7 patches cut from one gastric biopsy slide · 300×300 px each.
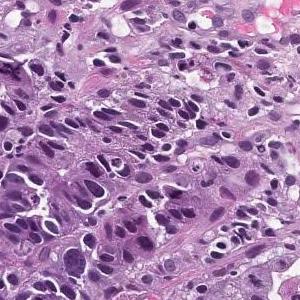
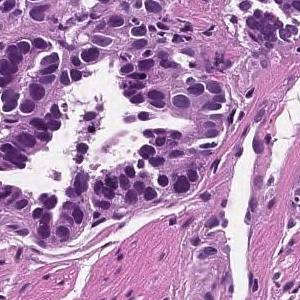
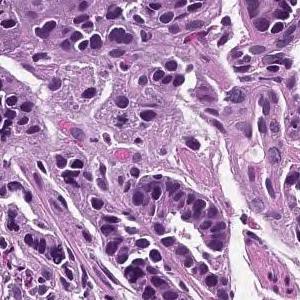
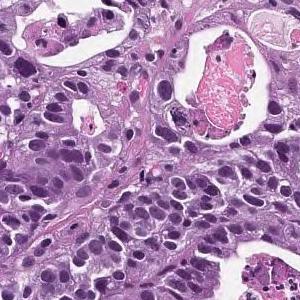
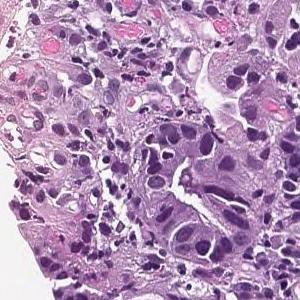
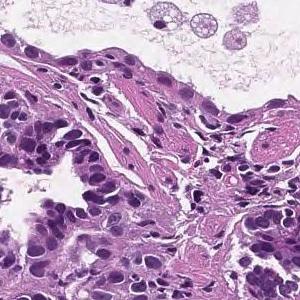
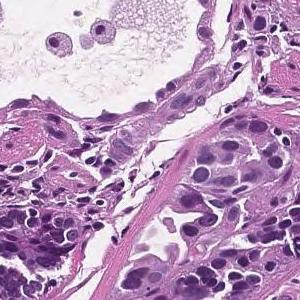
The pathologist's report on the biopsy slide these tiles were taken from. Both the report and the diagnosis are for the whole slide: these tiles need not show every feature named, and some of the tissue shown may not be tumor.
From the superficial epithelium to the muscularis mucosae, tumor tissue consisting of medium-sized and irregular glandular ducts infiltrating is observed. Well differentiated tubular adenocarcinoma
